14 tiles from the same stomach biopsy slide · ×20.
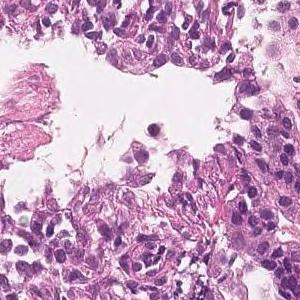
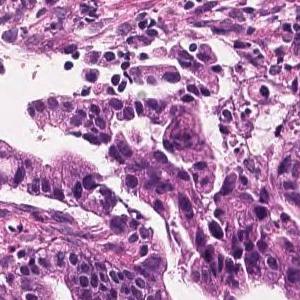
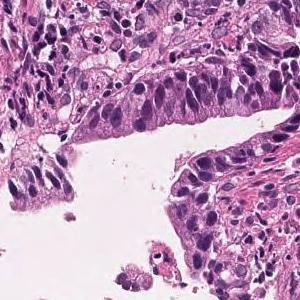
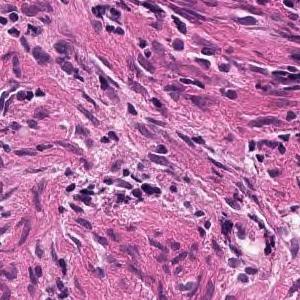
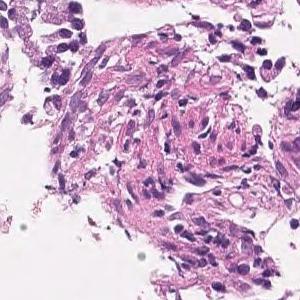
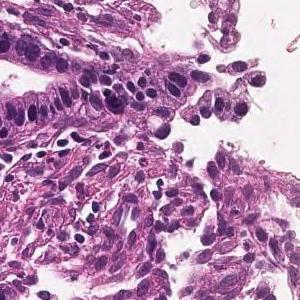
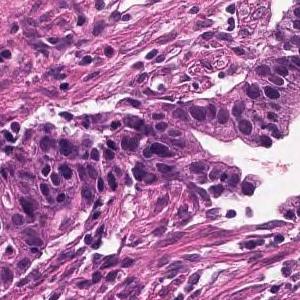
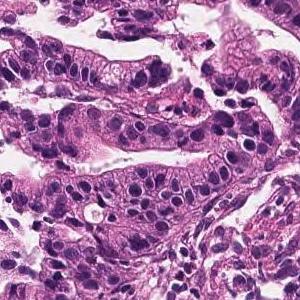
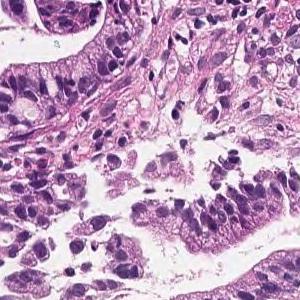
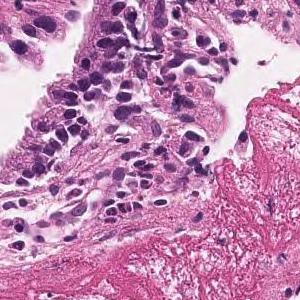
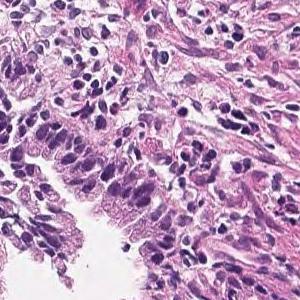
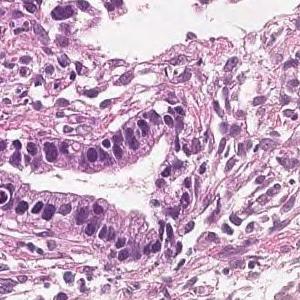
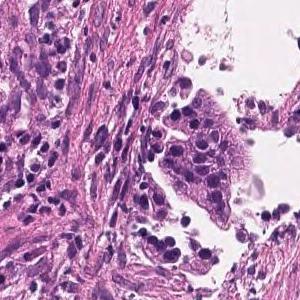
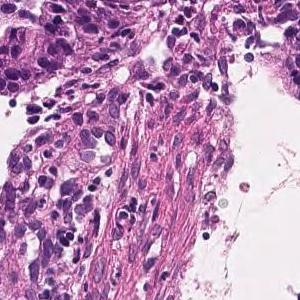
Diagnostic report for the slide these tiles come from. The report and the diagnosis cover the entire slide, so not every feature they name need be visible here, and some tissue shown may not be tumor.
Tumor cells are large, highly columnar, large club-shaped nuclei, and are associated with chromatin aggregation. Papillary adenocarcinoma.
